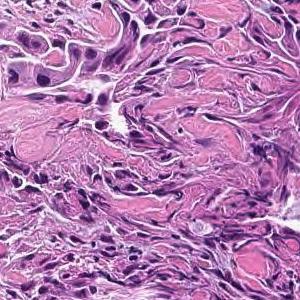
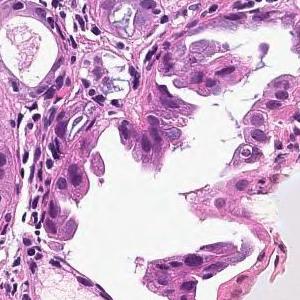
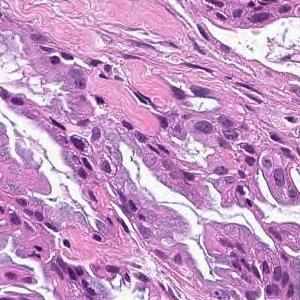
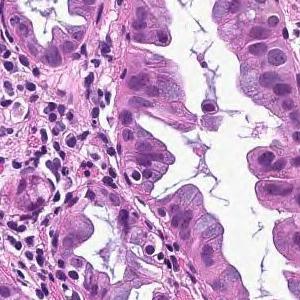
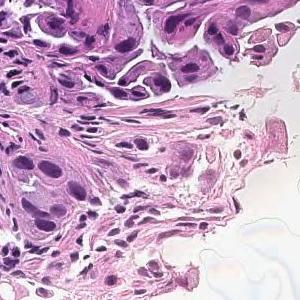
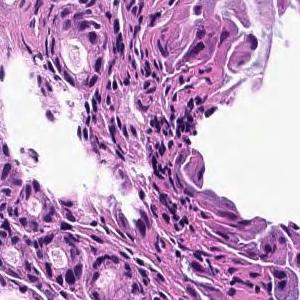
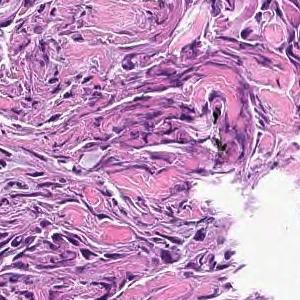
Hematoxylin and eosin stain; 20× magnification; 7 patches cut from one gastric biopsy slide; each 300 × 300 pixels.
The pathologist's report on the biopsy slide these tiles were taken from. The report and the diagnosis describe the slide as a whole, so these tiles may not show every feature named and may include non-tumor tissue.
From the superficial epithelium to the muscularis mucosae, tumor tissue consisting of medium-sized and irregular glandular ducts infiltrating is observed. Well differentiated tubular adenocarcinoma
